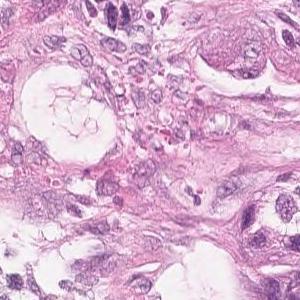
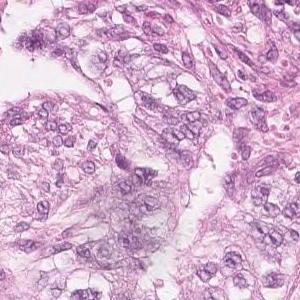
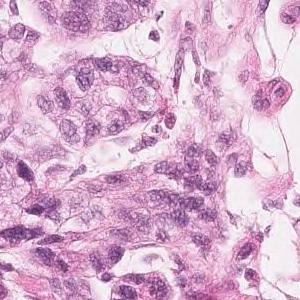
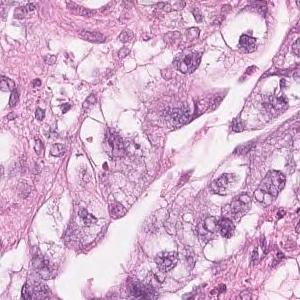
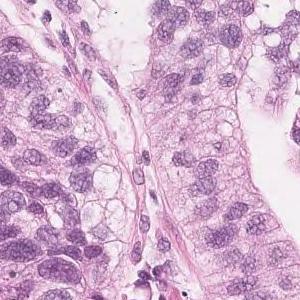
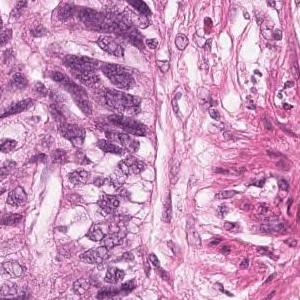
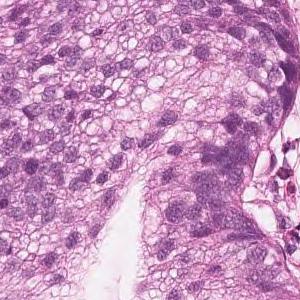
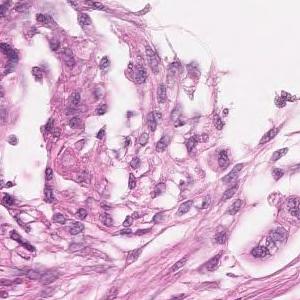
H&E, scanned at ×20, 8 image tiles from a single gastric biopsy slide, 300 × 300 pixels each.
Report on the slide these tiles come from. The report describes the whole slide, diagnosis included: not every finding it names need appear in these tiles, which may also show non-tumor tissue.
Highly columnar epithelium with disordered nuclear localization proliferates showing fusion ductal construction. moderately differentiated tubular adenocarcinoma
